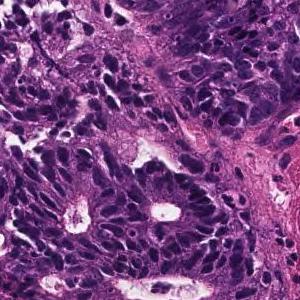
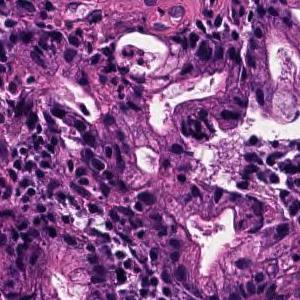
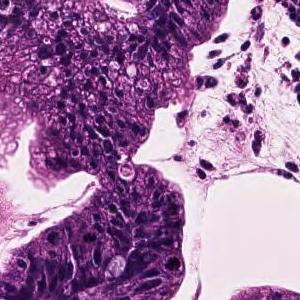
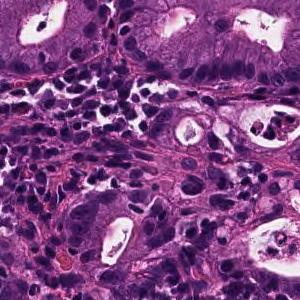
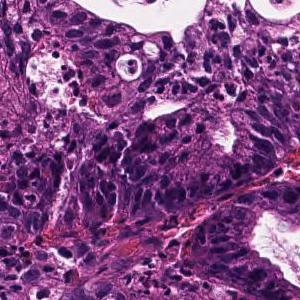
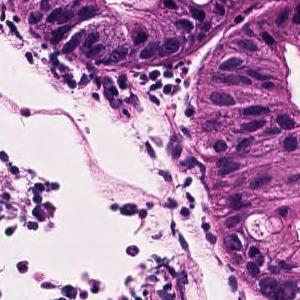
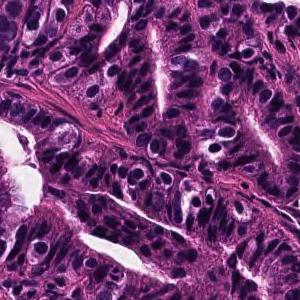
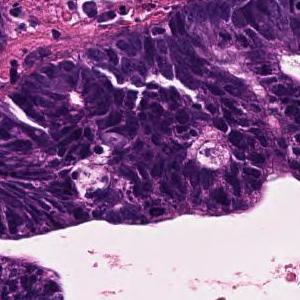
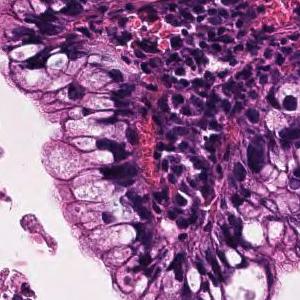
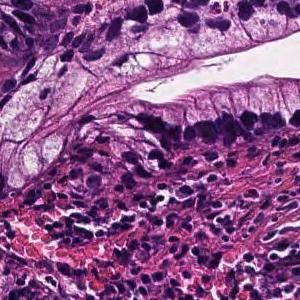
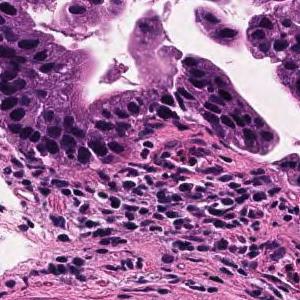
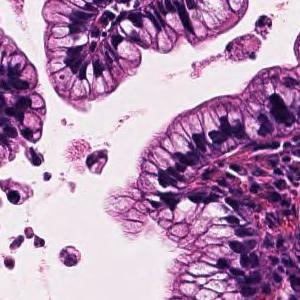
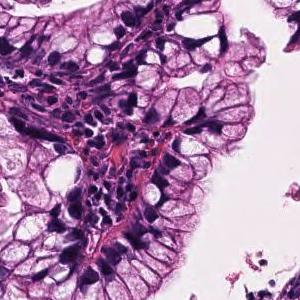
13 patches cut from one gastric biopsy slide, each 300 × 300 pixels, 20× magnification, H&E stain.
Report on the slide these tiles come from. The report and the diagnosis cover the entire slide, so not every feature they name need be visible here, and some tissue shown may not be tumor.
Tumor cells are large, highly columnar, large club-shaped nuclei, and are associated with chromatin aggregation. Papillary adenocarcinoma.
